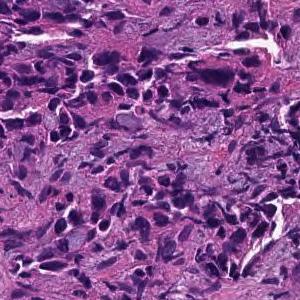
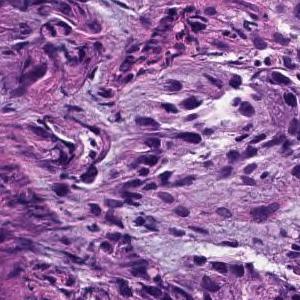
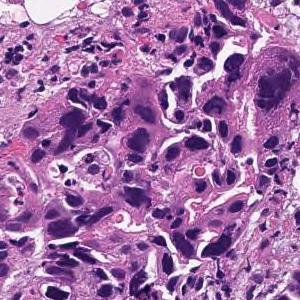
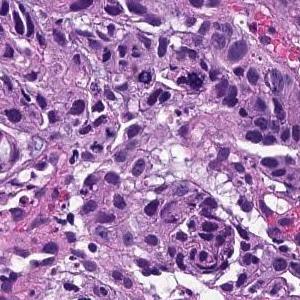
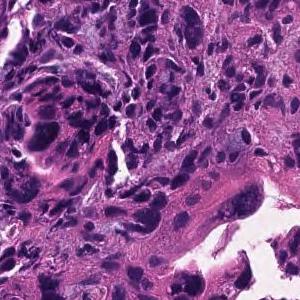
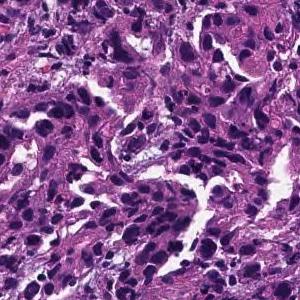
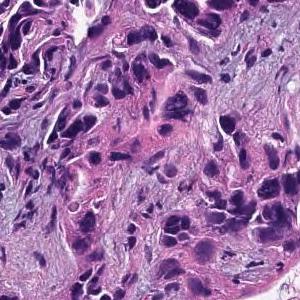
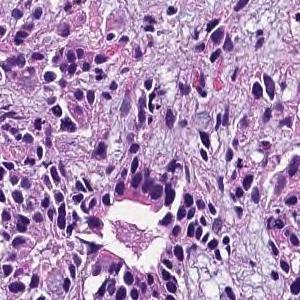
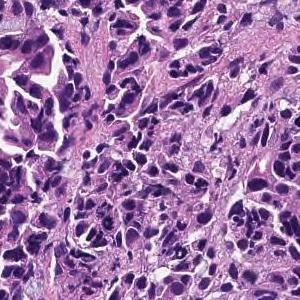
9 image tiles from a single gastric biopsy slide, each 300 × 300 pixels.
Pathology report for the slide these tiles were cut from. The findings and the diagnosis refer to the entire slide; these tiles show only part of it, possibly with non-tumor tissue, and may not show every feature named.
Tumor tissue consisting of cord-like or small, irregular glandular ducts fused and infiltrated is observed in the superficial epithelium. Poorly differentiated adenocarcinoma, non-solid type
The non-solid type named here is a Japanese Classification of Gastric Carcinoma category.
